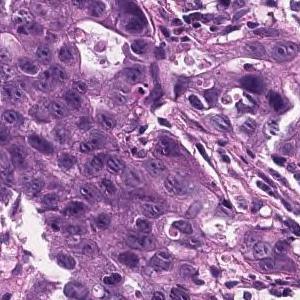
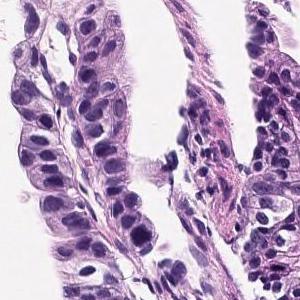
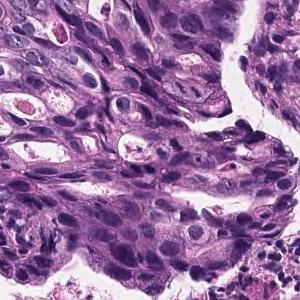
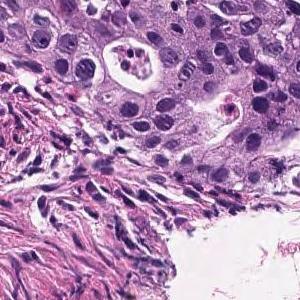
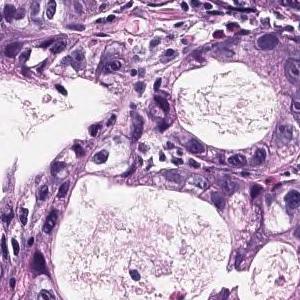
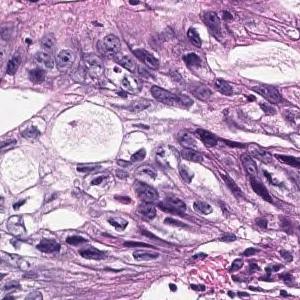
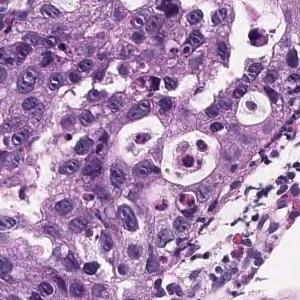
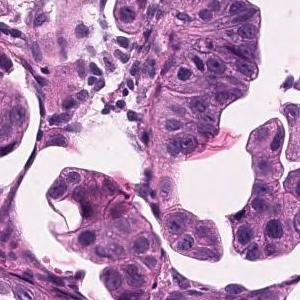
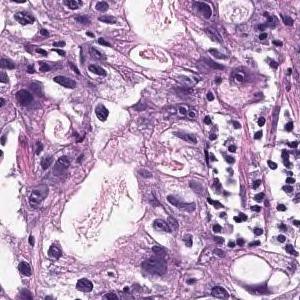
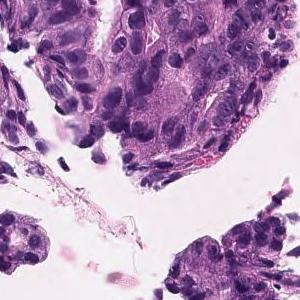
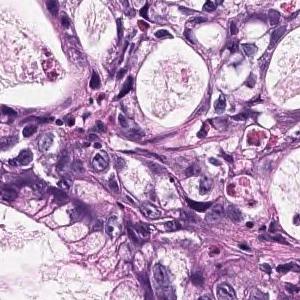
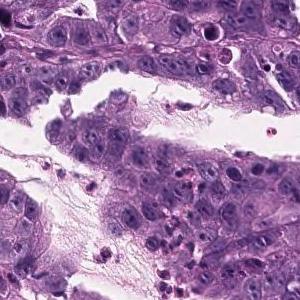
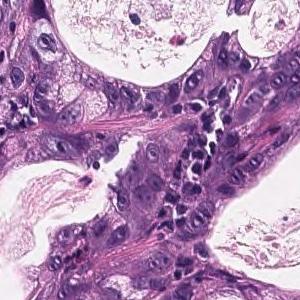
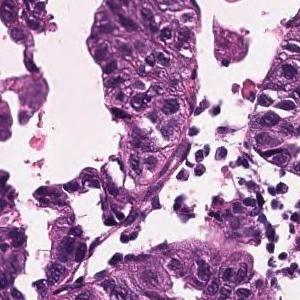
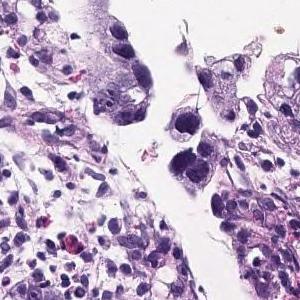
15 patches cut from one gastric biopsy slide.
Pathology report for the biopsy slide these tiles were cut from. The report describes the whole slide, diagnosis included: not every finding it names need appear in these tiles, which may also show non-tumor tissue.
Tumor cells are large, highly columnar, large club-shaped nuclei, and are associated with chromatin aggregation. Papillary adenocarcinoma.
